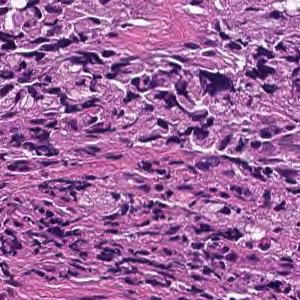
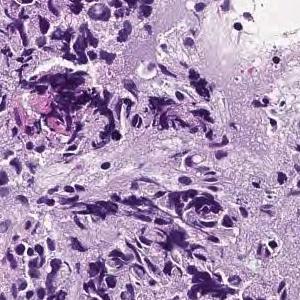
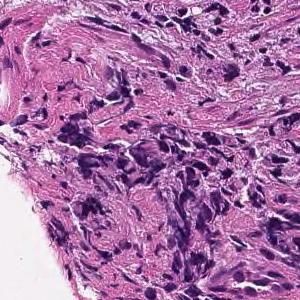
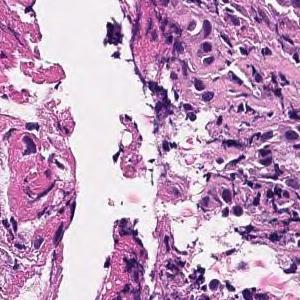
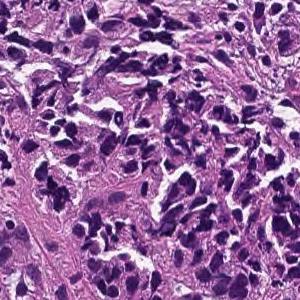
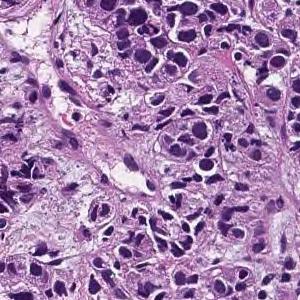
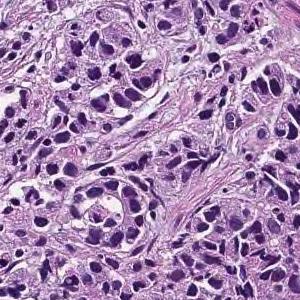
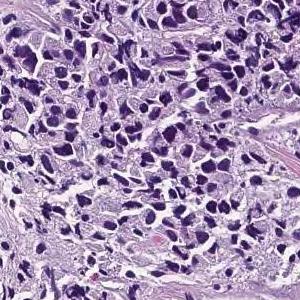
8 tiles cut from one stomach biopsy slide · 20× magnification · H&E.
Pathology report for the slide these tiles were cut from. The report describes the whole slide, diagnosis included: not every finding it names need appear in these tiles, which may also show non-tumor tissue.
The lamina propria shows small cord-like tumor tissue that infiltrates with fibrosis and marked chronic inflammatory cell infiltration. Poorly differentiated adenocarcinoma, non-solid type
The term "non-solid type" comes from the Japanese Classification of Gastric Carcinoma.
